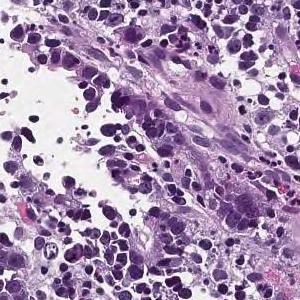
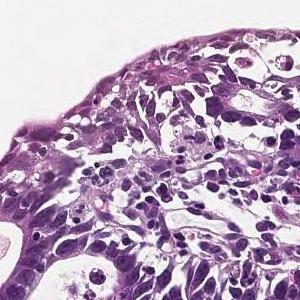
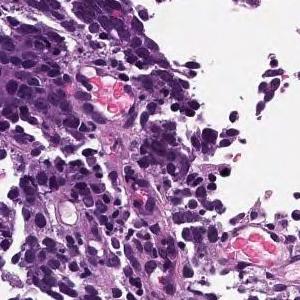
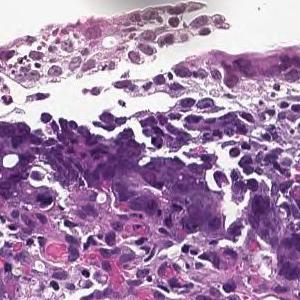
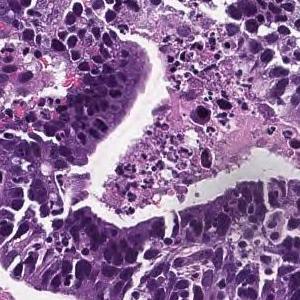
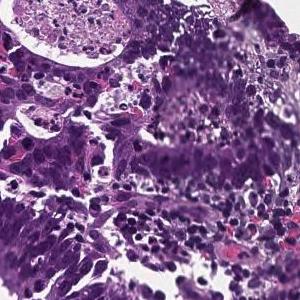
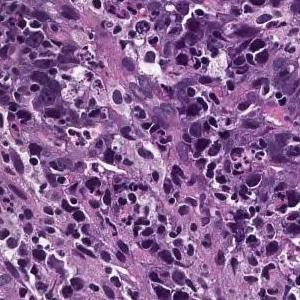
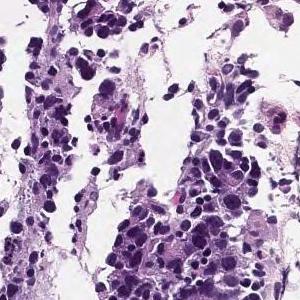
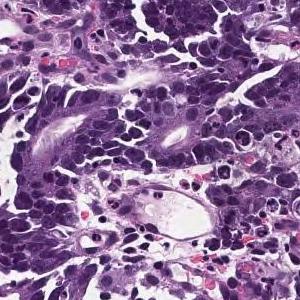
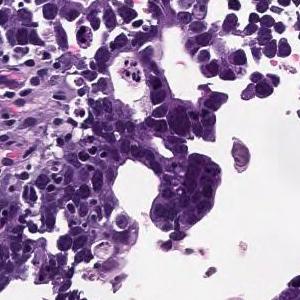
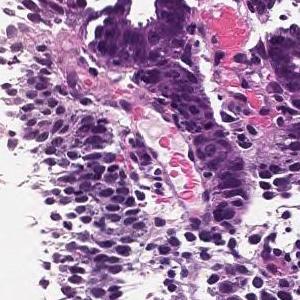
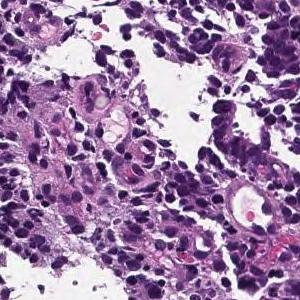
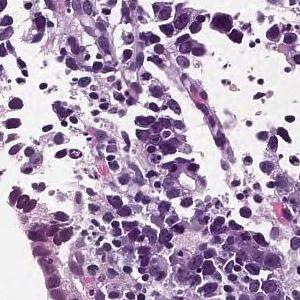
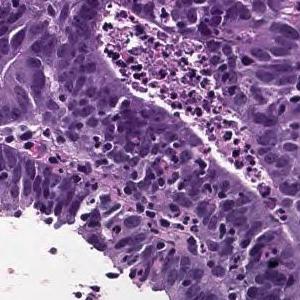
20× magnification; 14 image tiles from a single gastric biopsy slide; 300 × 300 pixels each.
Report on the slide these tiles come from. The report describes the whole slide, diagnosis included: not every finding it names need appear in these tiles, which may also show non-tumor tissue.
On the superficial epithelium, tumor tissue is found in which medium-sized irregular gland ducts fuse with each other and infiltrate. moderately differentiated tubular adenocarcinoma
